H&E, 20× magnification, 11 image tiles from a single gastric biopsy slide.
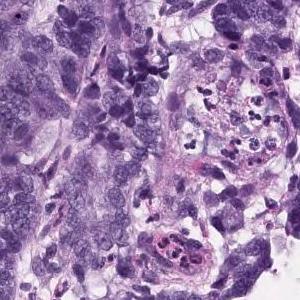
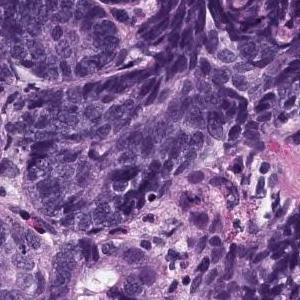
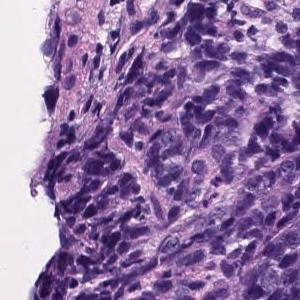
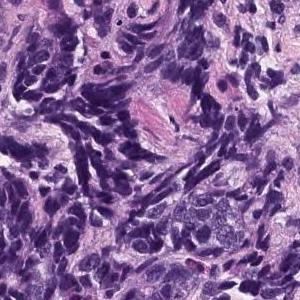
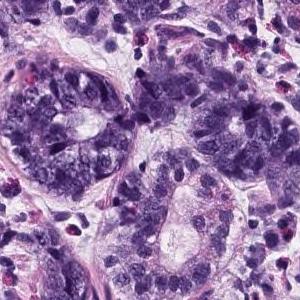
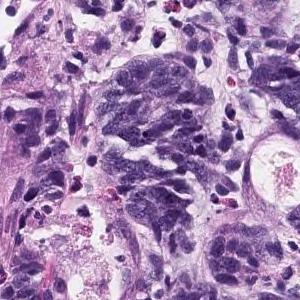
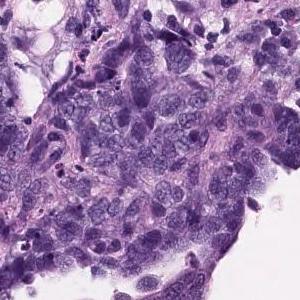
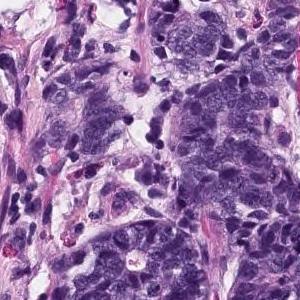
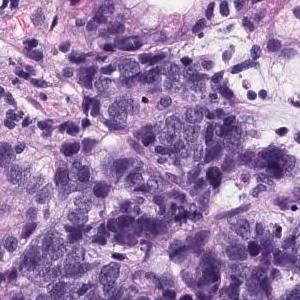
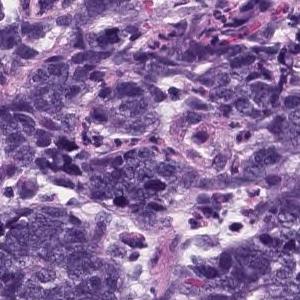
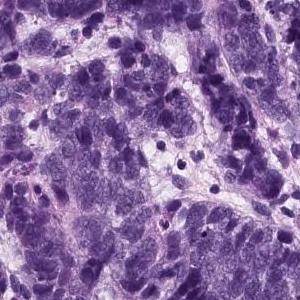
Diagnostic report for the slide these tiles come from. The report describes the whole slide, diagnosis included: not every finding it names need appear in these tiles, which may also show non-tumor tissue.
Group 5, Adenocarcinoma. Moderately to poorly differentiated adenocarcinoma
